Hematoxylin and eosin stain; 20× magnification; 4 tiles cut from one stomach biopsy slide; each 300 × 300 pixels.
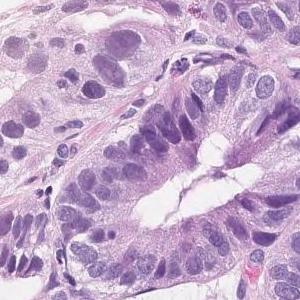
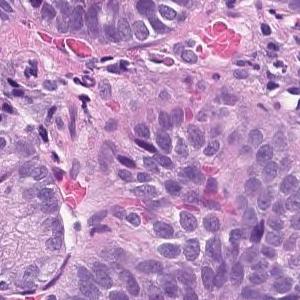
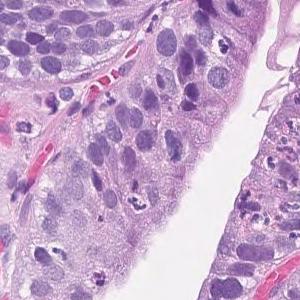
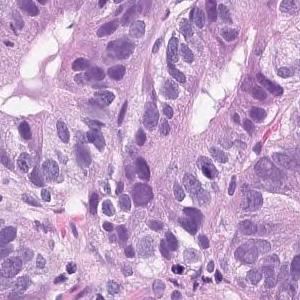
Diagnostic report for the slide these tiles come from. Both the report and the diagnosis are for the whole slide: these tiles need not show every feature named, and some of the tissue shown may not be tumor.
Tumor tissue consisting of medium-sized and irregular ducts is observed infiltrating in the superficial epithelium. Tumor cells are highly columnar, with nuclei aligned basolaterally and polarized. Well differentiated tubular adenocarcinoma.
